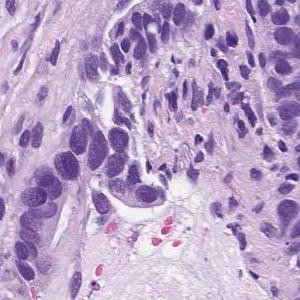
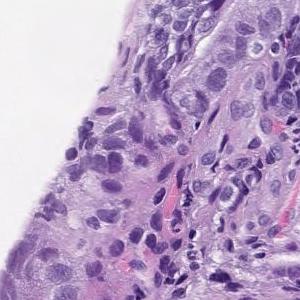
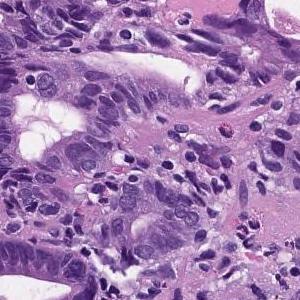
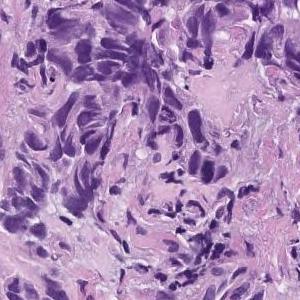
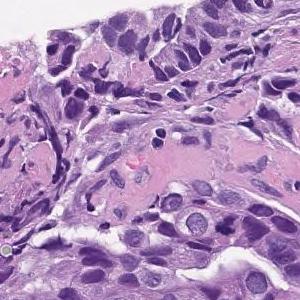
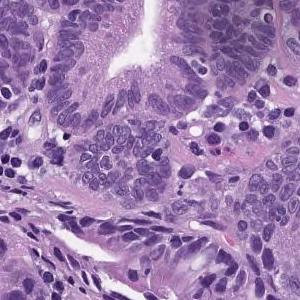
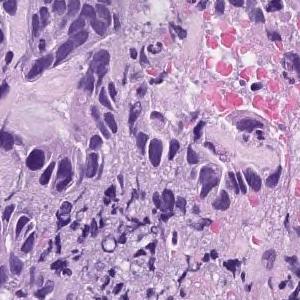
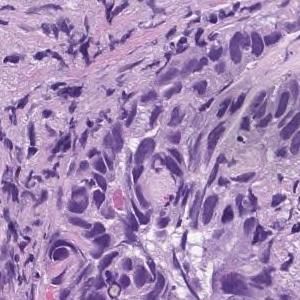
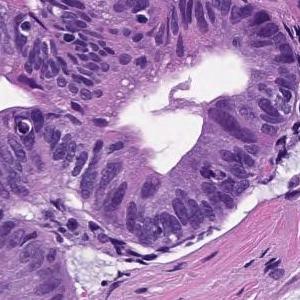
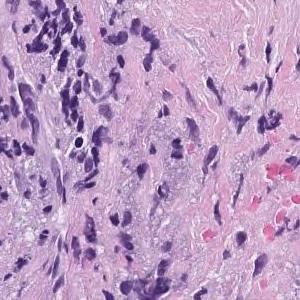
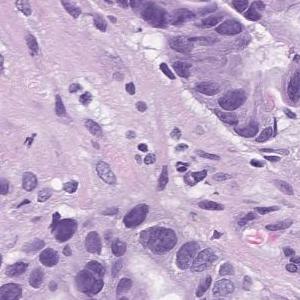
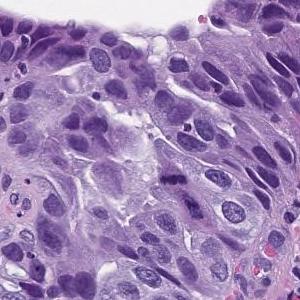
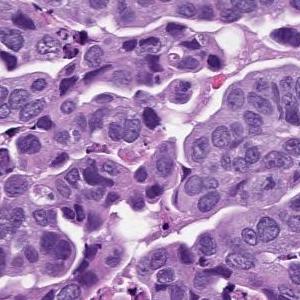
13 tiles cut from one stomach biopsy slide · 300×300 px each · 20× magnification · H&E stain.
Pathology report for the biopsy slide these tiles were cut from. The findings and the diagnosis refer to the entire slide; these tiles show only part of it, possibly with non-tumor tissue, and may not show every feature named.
In the superficial epithelium, tumor tissue that invades by forming medium-sized to small, irregular ducts is observed. moderately differentiated tubular adenocarcinoma.
